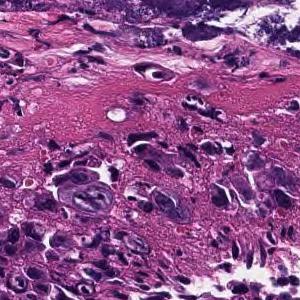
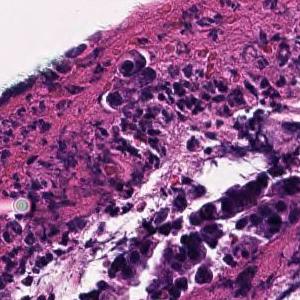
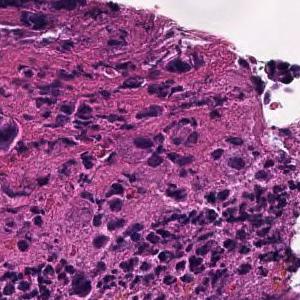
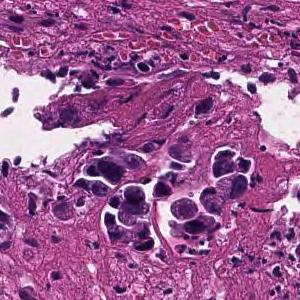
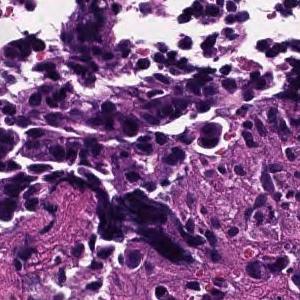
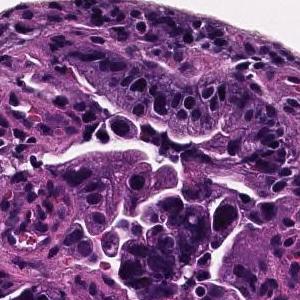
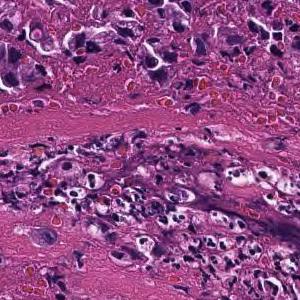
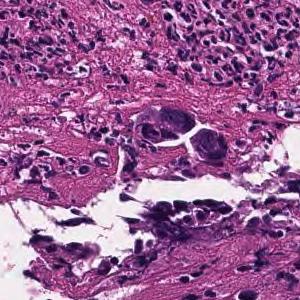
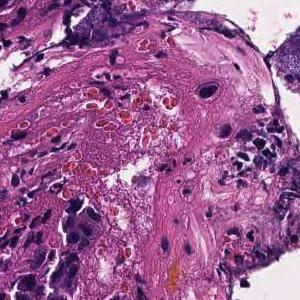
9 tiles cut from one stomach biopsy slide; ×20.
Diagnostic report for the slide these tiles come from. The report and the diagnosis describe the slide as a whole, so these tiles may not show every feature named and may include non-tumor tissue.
Tumor tissue consisting of cord-like or small, irregular glandular ducts fused and infiltrated is observed in the superficial epithelium. Poorly differentiated adenocarcinoma, non-solid type
The non-solid type named here is a Japanese Classification of Gastric Carcinoma category.
